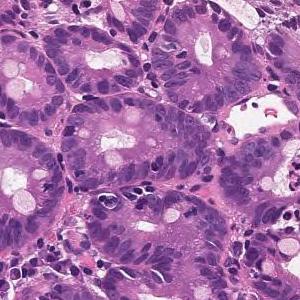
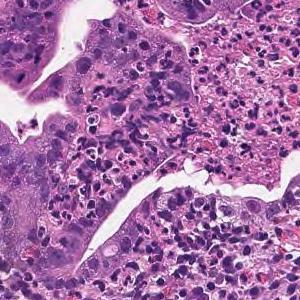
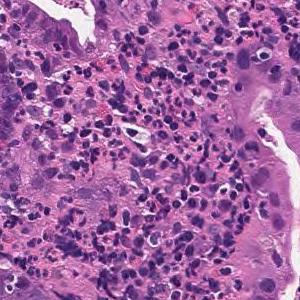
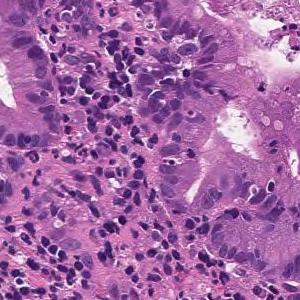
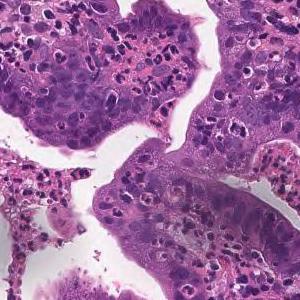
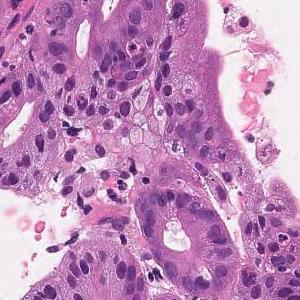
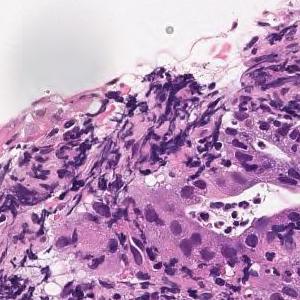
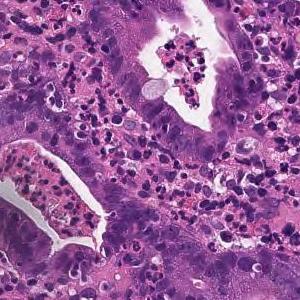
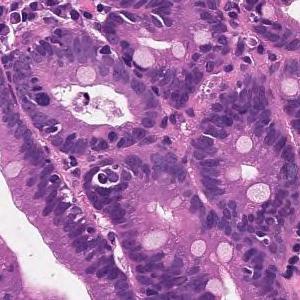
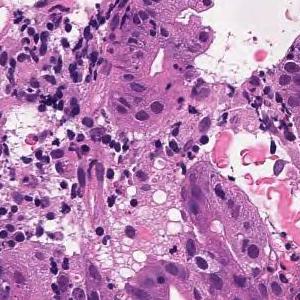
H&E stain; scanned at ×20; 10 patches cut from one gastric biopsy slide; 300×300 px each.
Diagnostic report for the slide these tiles come from. The report describes the whole slide, diagnosis included: not every finding it names need appear in these tiles, which may also show non-tumor tissue.
From the superficial epithelium to the muscularis mucosae, tumor tissue consisting of medium-sized and irregular glandular ducts infiltrating is observed. Well differentiated tubular adenocarcinoma
